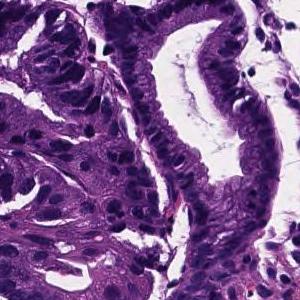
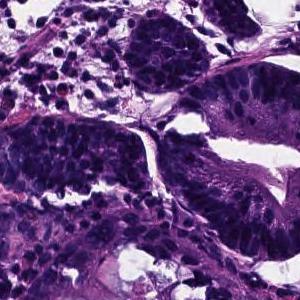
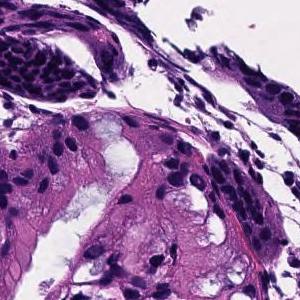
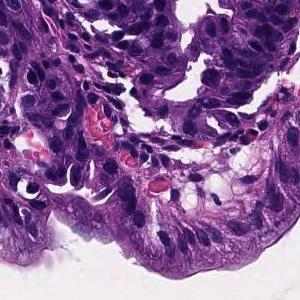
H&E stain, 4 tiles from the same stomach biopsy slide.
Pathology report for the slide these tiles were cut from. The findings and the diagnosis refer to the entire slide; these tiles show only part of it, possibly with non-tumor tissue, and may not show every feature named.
From the superficial epithelium to the muscularis mucosae, tumor tissue consisting of medium-sized and irregular glandular ducts infiltrating is observed. Well differentiated tubular adenocarcinoma
